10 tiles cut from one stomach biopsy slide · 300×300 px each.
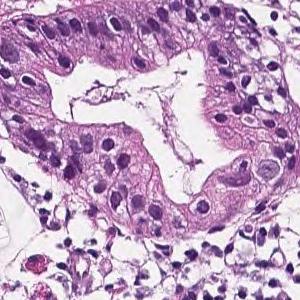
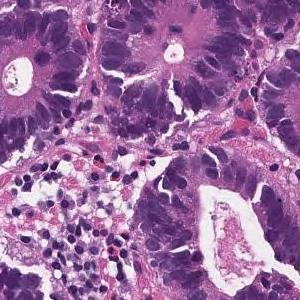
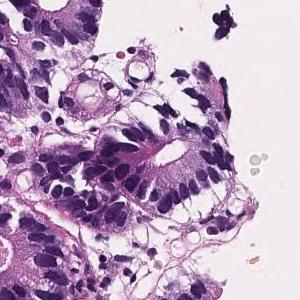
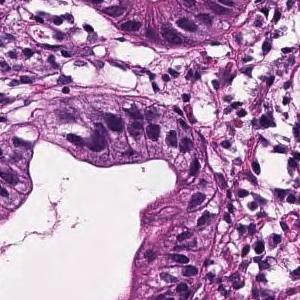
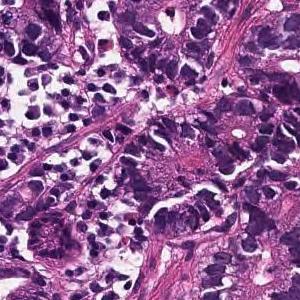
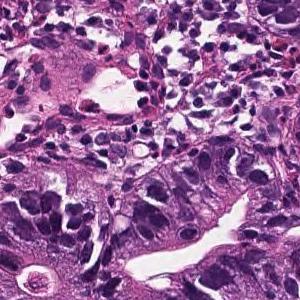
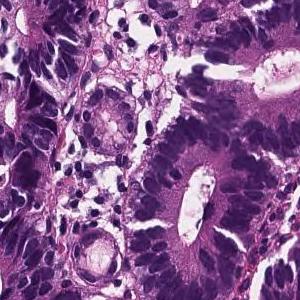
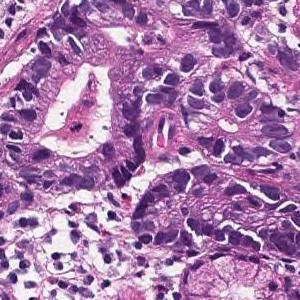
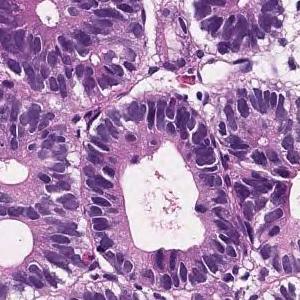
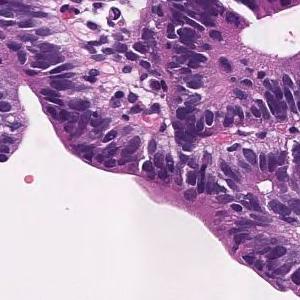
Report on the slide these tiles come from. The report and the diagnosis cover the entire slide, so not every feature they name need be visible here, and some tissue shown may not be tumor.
On the superficial epithelium, tumor tissue consisting of large, irregular glandular ducts partially fused and infiltrated is observed. Well to moderately differentiated tubular adenocarcinoma (well differentiated tubular adenocarcinoma, moderately differentiated tubular adenocarcinoma)
Subtype: Well to moderately differentiated tubular adenocarcinoma.
